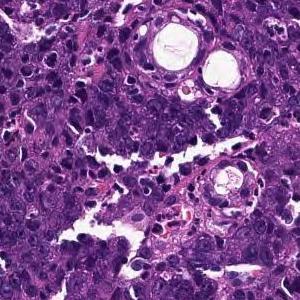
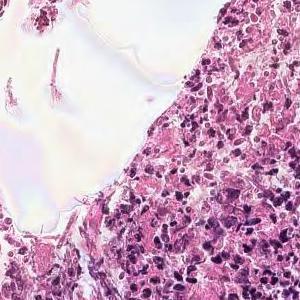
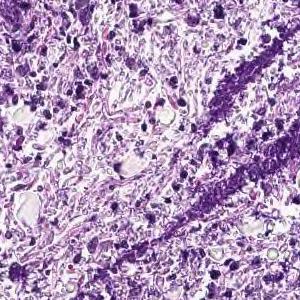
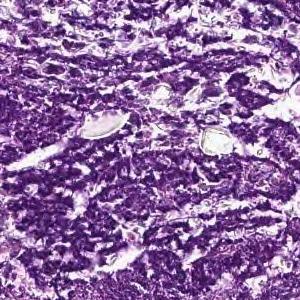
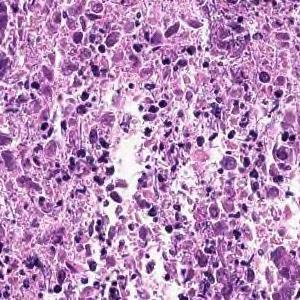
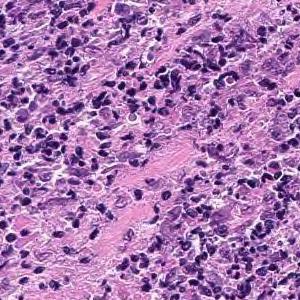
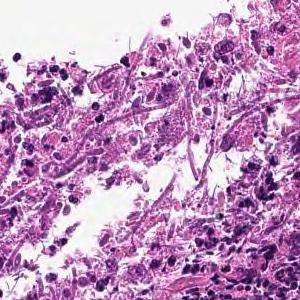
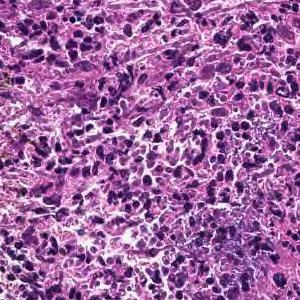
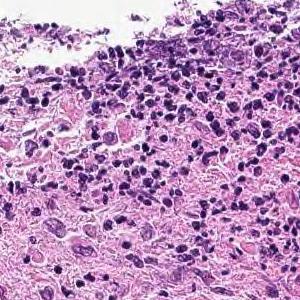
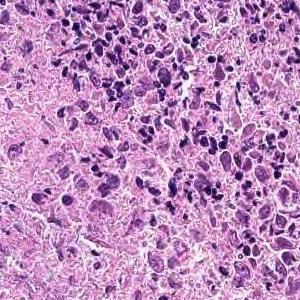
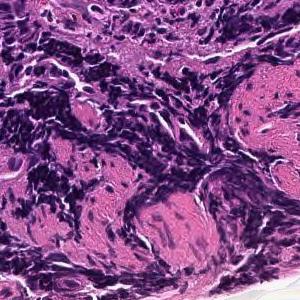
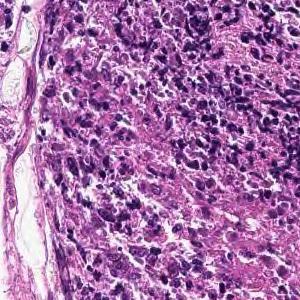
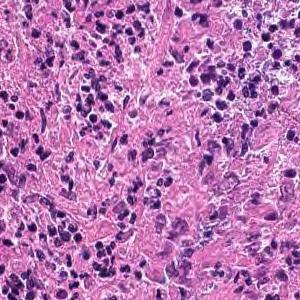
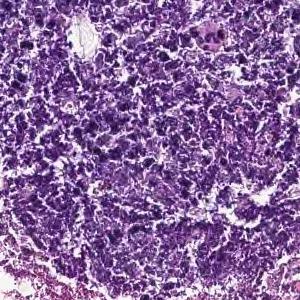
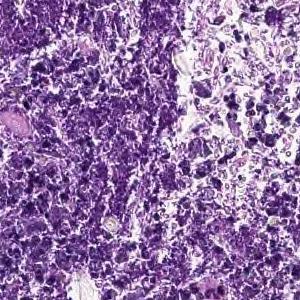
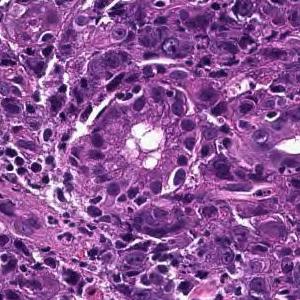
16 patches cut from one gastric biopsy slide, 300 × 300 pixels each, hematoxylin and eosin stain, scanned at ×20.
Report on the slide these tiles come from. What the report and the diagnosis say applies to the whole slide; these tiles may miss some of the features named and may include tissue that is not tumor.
Cancers with polygonal nuclei do not show glandular formation and are densely, in part, cord-like and proliferate. Poorly differentiated adenocarcinoma
Histologic type: Poorly differentiated adenocarcinoma, non-solid type.
The term "non-solid type" comes from the Japanese Classification of Gastric Carcinoma.
